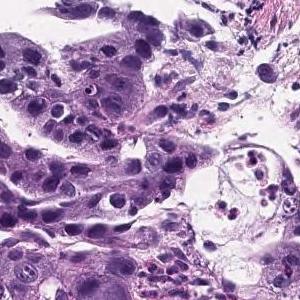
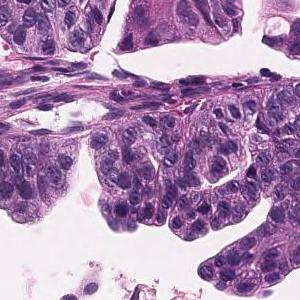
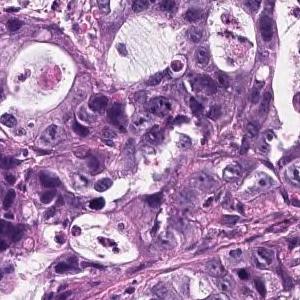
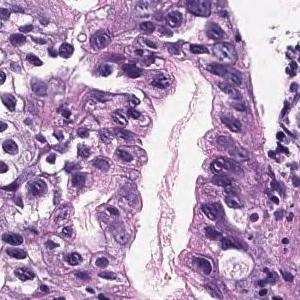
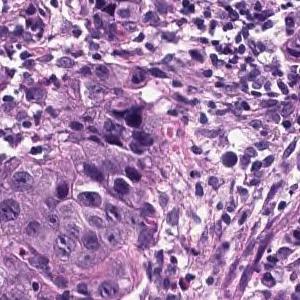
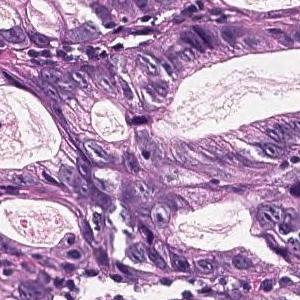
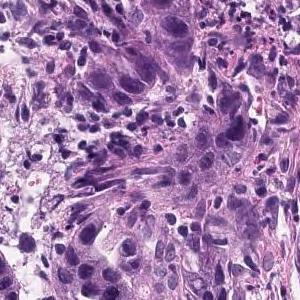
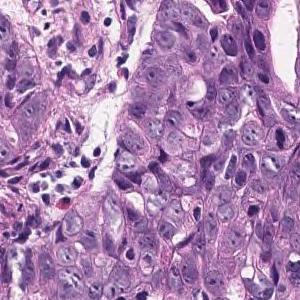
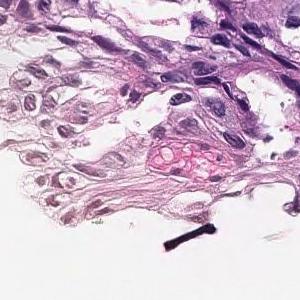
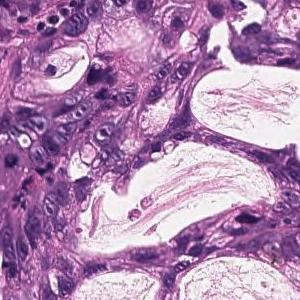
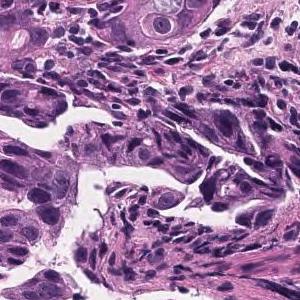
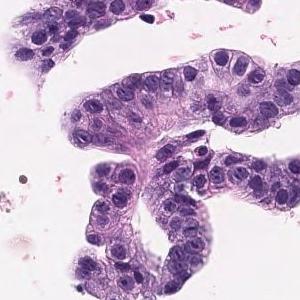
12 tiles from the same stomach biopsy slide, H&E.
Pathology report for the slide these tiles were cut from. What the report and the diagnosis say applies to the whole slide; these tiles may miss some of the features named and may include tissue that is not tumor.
Tumor cells are large, highly columnar, large club-shaped nuclei, and are associated with chromatin aggregation. Papillary adenocarcinoma.
